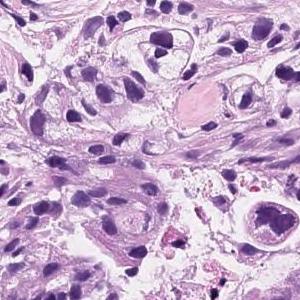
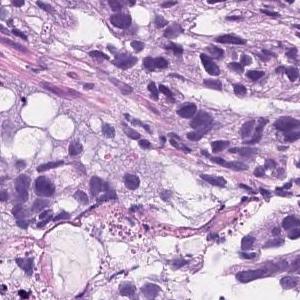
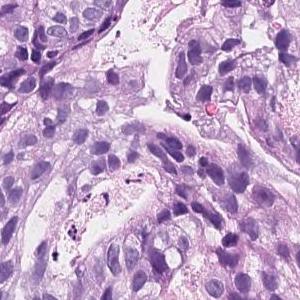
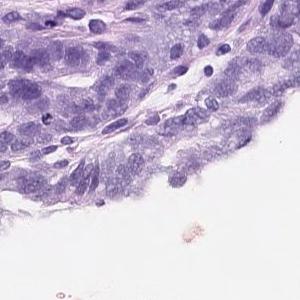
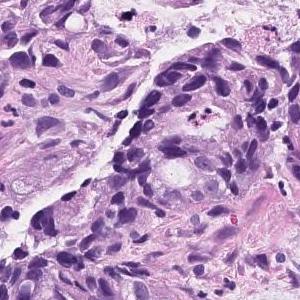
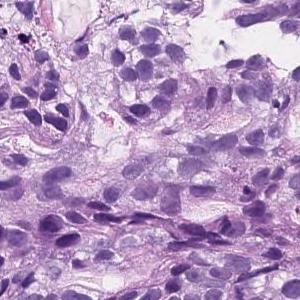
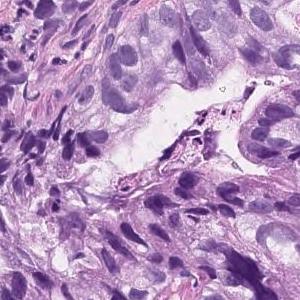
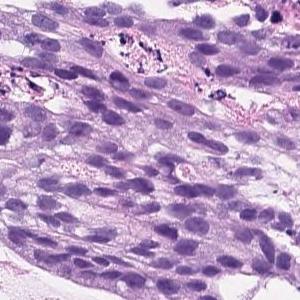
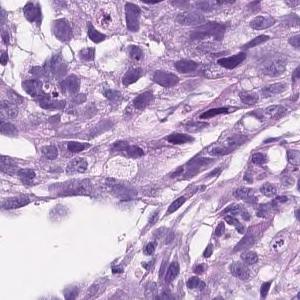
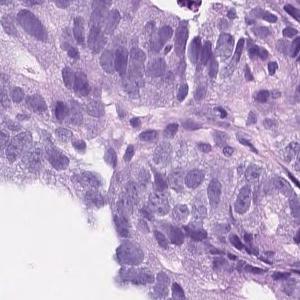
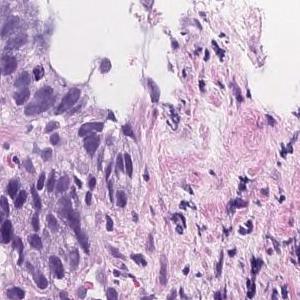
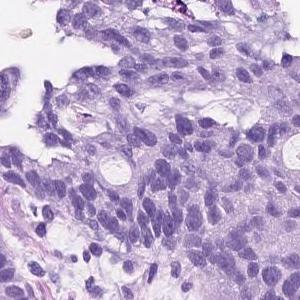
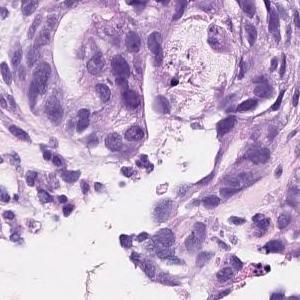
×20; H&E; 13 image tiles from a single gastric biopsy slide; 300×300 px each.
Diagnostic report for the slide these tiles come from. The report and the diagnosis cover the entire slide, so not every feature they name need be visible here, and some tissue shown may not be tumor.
On the superficial epithelium, tumor tissue consisting of an image of large, irregular glandular ducts partially fused and infiltrated is observed. Well to moderately differentiated tubular adenocarcinoma
